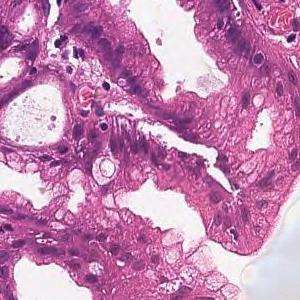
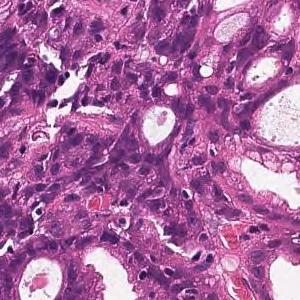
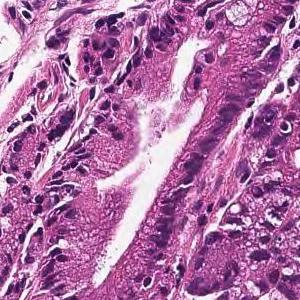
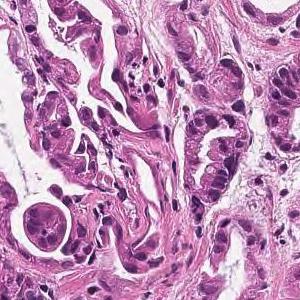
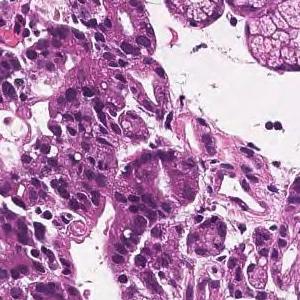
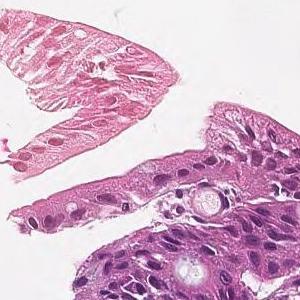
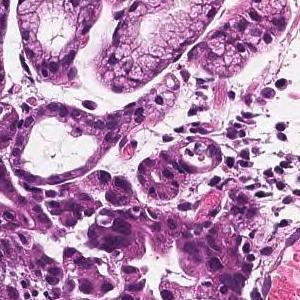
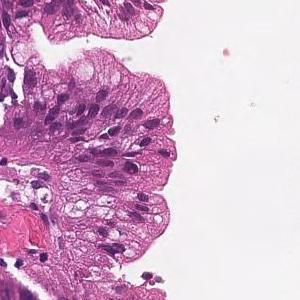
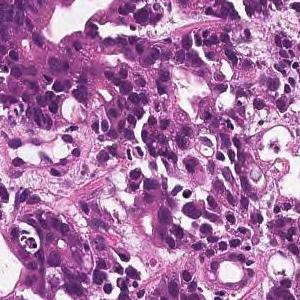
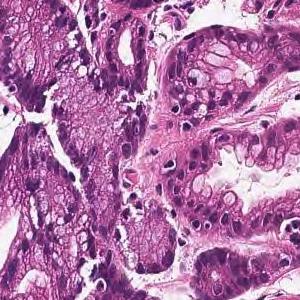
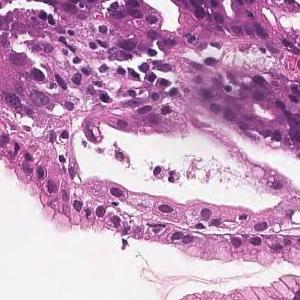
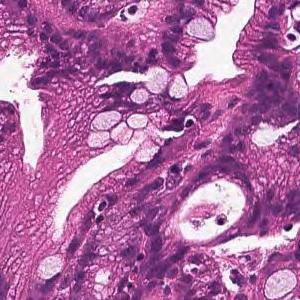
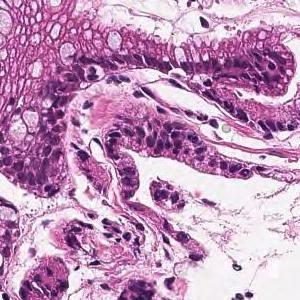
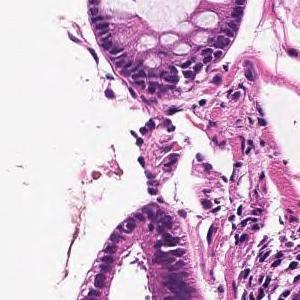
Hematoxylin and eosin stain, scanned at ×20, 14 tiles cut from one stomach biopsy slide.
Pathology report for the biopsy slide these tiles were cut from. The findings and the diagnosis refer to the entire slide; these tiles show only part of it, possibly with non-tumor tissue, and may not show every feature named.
In the superficial epithelium, tumor tissue that invades by forming medium-sized to small, irregular ducts is observed. moderately differentiated tubular adenocarcinoma.
